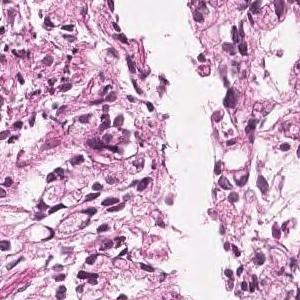
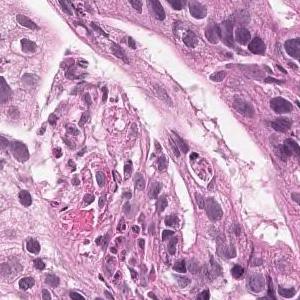
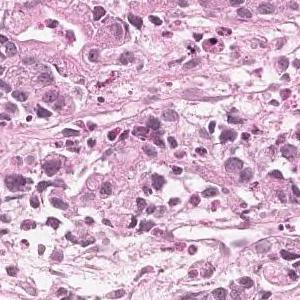
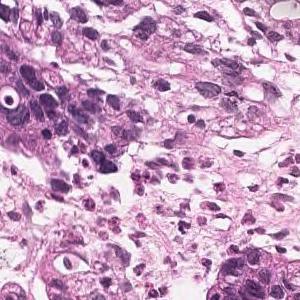
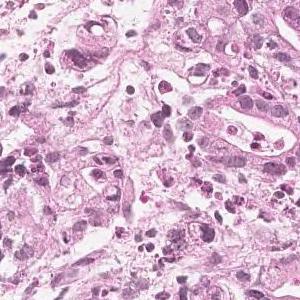
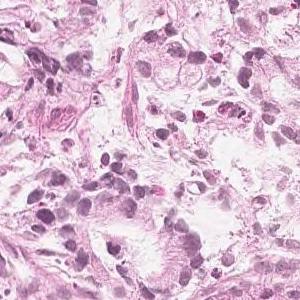
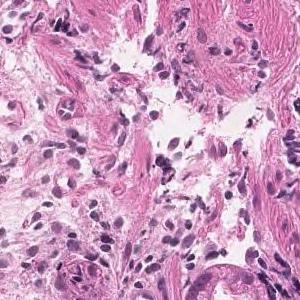
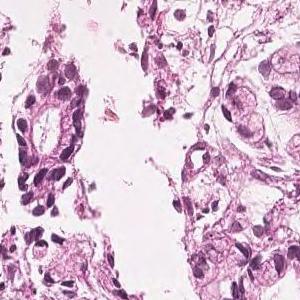
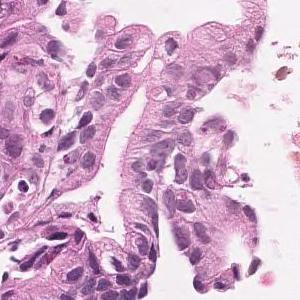
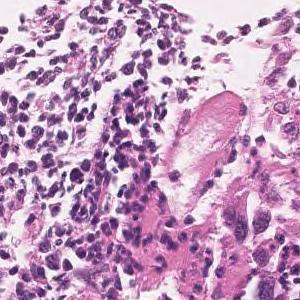
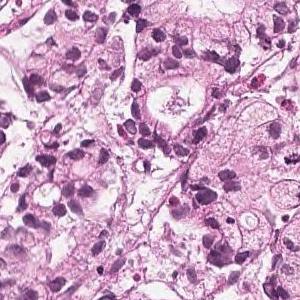
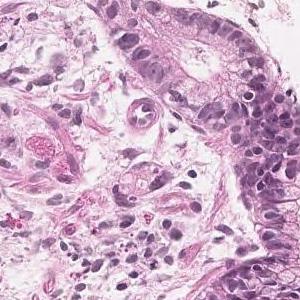
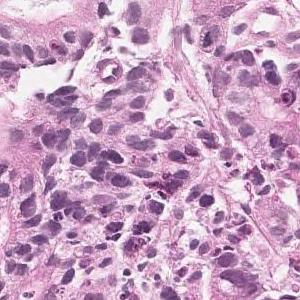
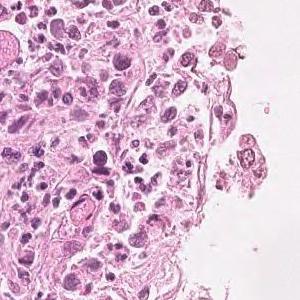
Scanned at ×20; 14 tiles cut from one stomach biopsy slide; 300×300 px each.
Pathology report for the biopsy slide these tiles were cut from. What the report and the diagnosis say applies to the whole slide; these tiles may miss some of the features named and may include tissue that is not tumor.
In the superficial epithelium, medium to small irregular gland ducts are formed, and in some cases, the ducts are fused to show solid alveolar lesions and infiltrating tumor tissue is observed. Moderately to poorly differentiated adenocarcinoma
